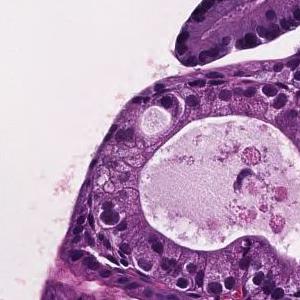
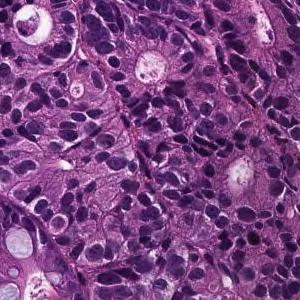
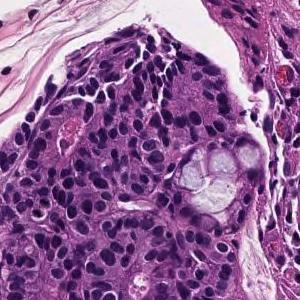
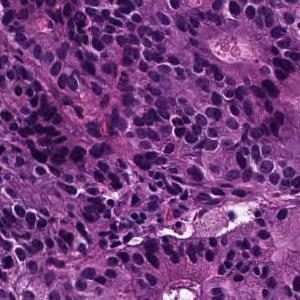
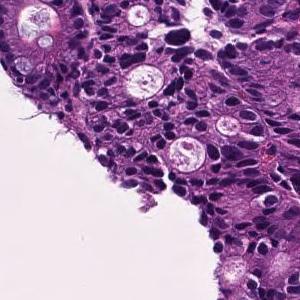
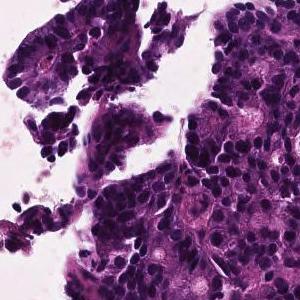
6 tiles from the same stomach biopsy slide.
Pathology report for the biopsy slide these tiles were cut from. The report and the diagnosis cover the entire slide, so not every feature they name need be visible here, and some tissue shown may not be tumor.
In the superficial epithelium, tumor tissue that invades by forming medium-sized to small, irregular ducts is observed. moderately differentiated tubular adenocarcinoma.
